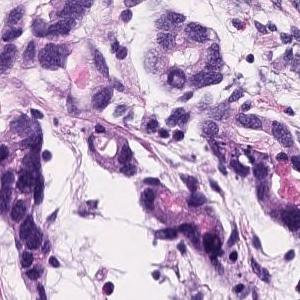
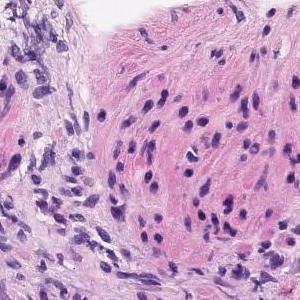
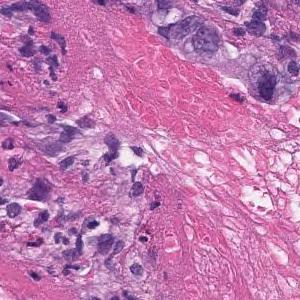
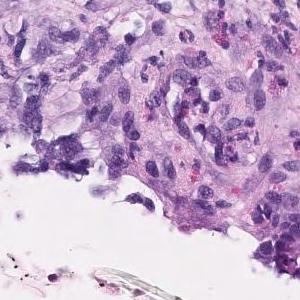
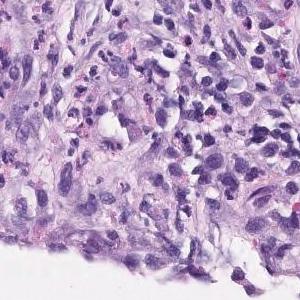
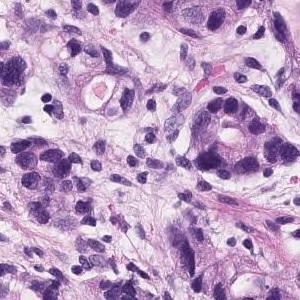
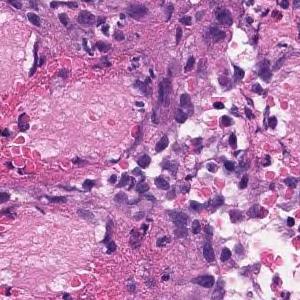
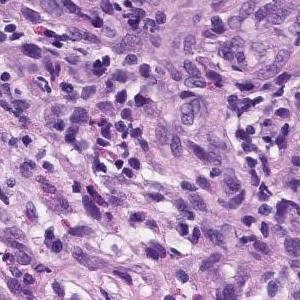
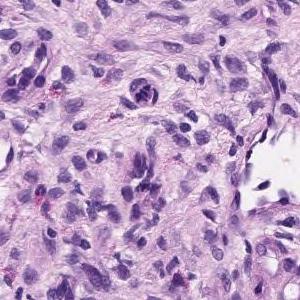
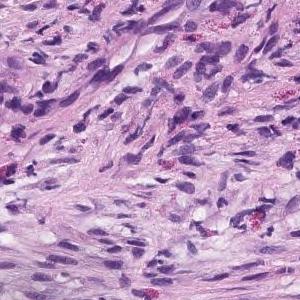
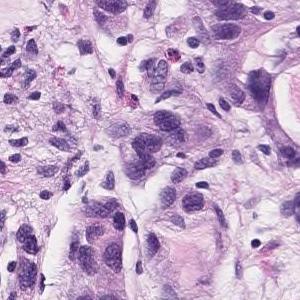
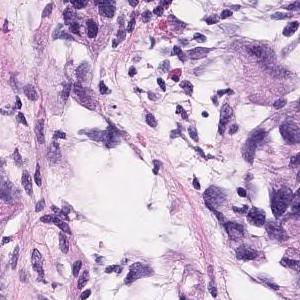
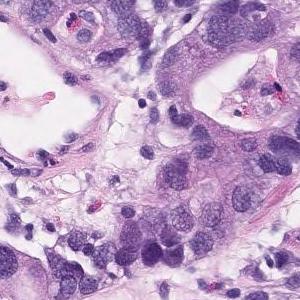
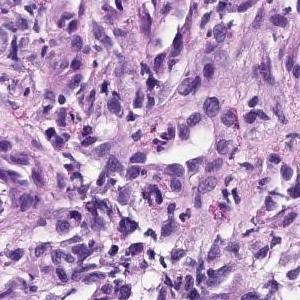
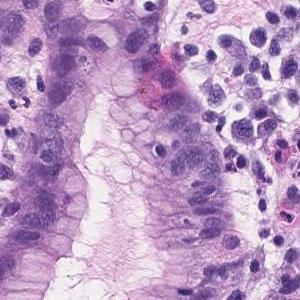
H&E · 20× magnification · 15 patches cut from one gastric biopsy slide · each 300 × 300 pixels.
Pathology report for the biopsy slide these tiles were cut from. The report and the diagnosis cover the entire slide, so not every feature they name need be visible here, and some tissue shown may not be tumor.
Group 5, Adenocarcinoma. Moderately to poorly differentiated adenocarcinoma
